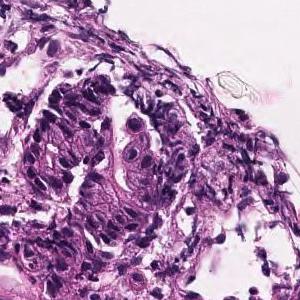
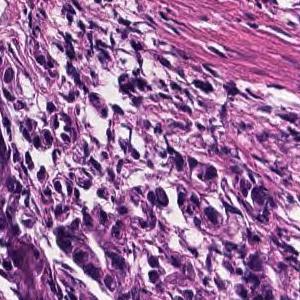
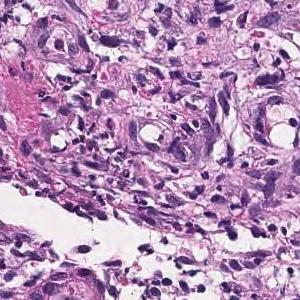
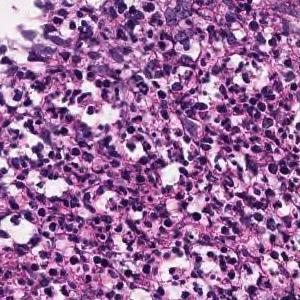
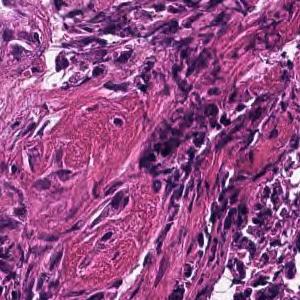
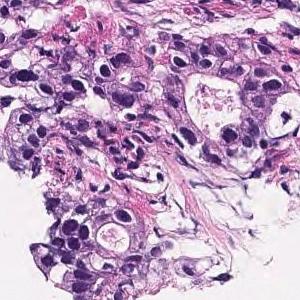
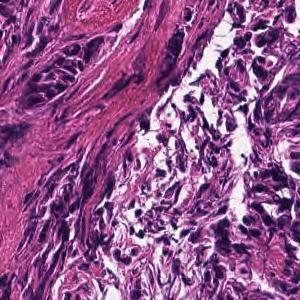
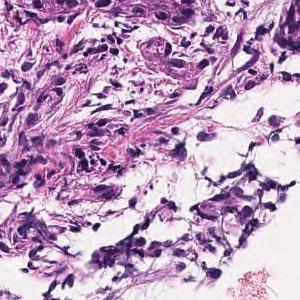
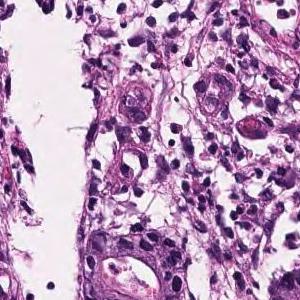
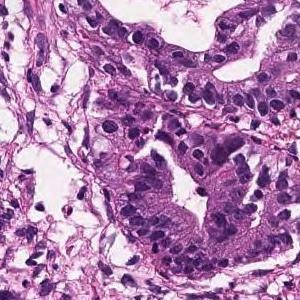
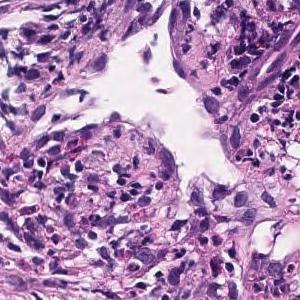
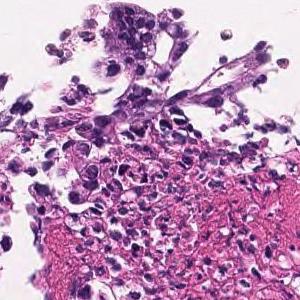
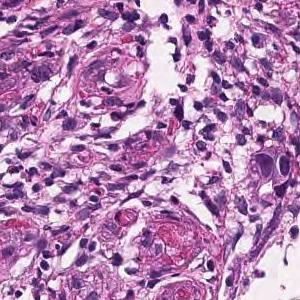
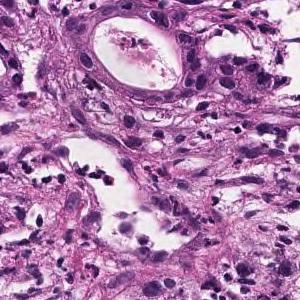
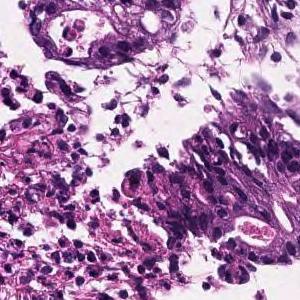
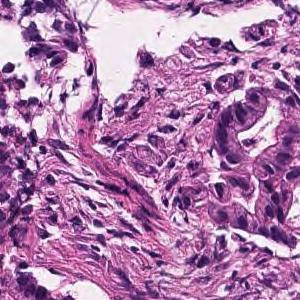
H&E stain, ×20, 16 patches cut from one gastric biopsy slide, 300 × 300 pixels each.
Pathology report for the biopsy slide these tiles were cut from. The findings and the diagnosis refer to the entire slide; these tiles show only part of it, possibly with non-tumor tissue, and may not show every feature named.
In the superficial epithelium, medium to small, irregular gland ducts are formed, and in some cases, the gland ducts are fused to show solid alveolar lesions and infiltrating tumor tissue is observed. Moderately to poorly differentiated adenocarcinoma.
